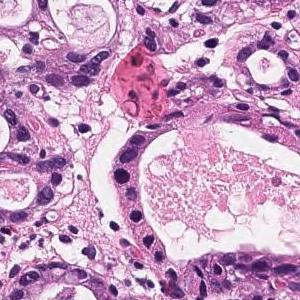
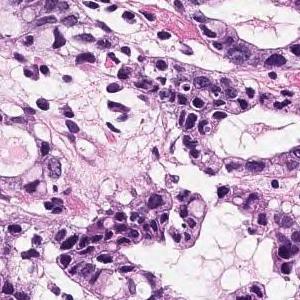
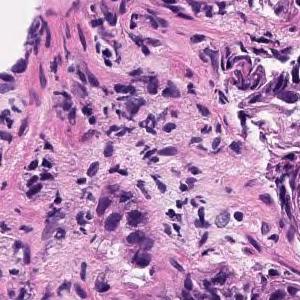
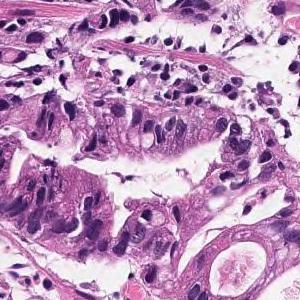
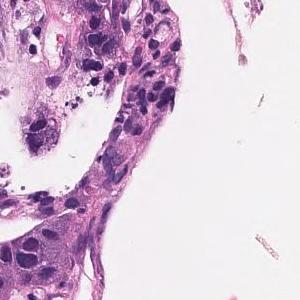
Hematoxylin and eosin stain; 5 tiles cut from one stomach biopsy slide; each 300 × 300 pixels.
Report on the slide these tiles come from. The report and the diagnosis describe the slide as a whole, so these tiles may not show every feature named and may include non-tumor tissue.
In the superficial epithelium, tumor tissue that invades by forming medium-sized to small, irregular ducts is observed. Moderately differentiated adenocarcinoma.
Histological subtype: Moderately differentiated tubular adenocarcinoma.
